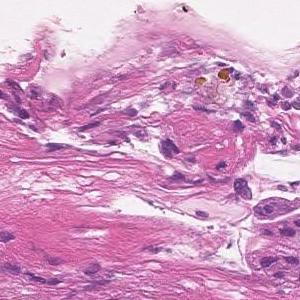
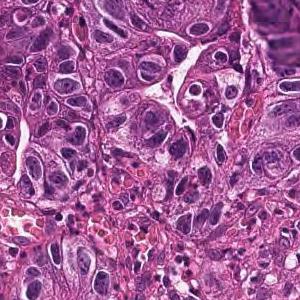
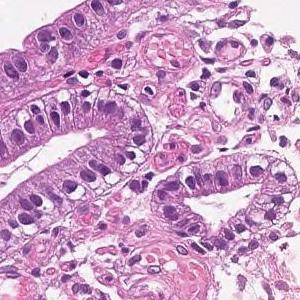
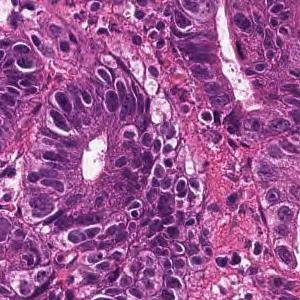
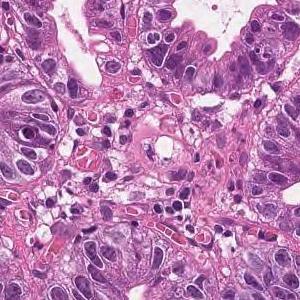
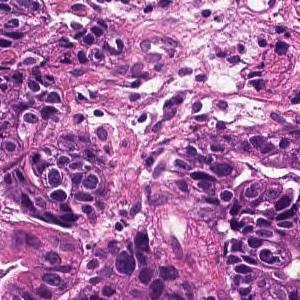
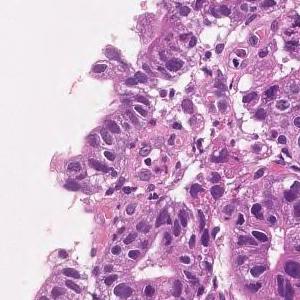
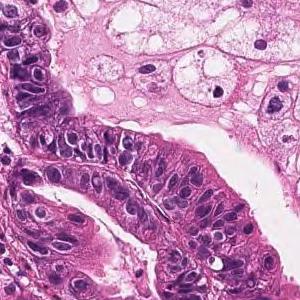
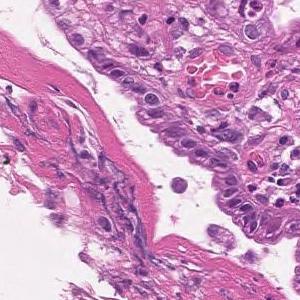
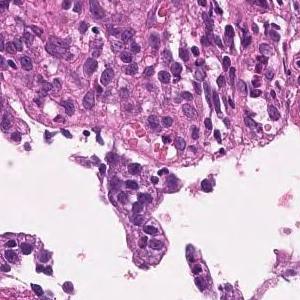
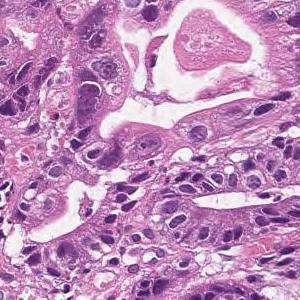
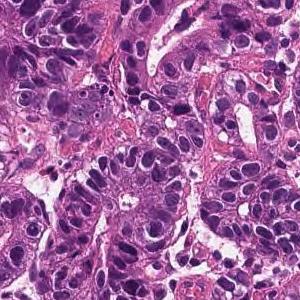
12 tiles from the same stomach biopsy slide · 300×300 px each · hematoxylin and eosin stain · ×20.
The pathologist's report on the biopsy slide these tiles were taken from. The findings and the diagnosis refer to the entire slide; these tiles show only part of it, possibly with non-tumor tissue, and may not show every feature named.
In the superficial epithelium, tumor tissue that invades by forming medium-sized to small, irregular ducts is observed. Well differentiated tubular adenocarcinoma.
